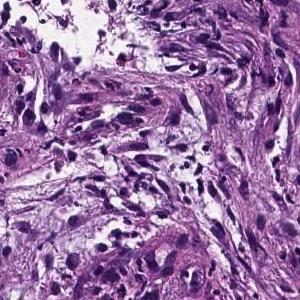
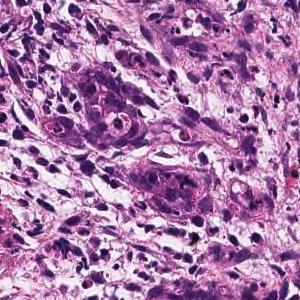
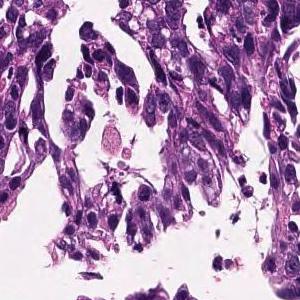
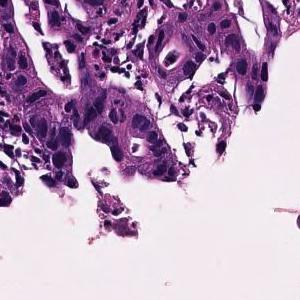
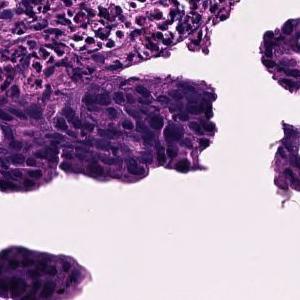
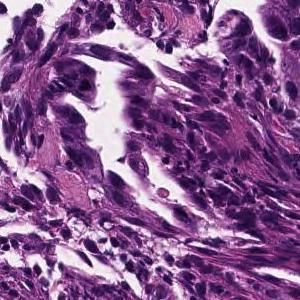
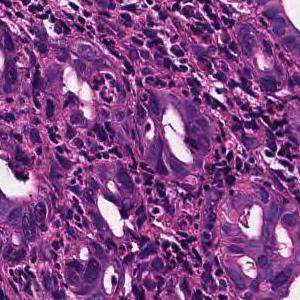
H&E stain · 7 tiles from the same stomach biopsy slide · 300×300 px each.
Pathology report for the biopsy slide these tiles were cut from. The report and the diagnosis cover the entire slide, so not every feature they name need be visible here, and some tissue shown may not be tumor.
In the superficial epithelium, medium-sized to small irregular glandular ducts are formed, and in some cases, the glandular ducts are fused or small cord-like infiltrating tumor tissue is observed. moderately differentiated tubular adenocarcinoma
